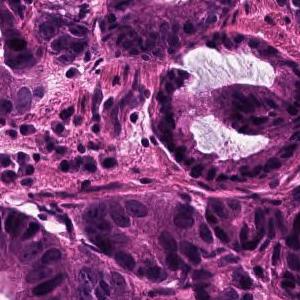
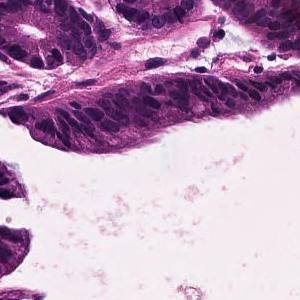
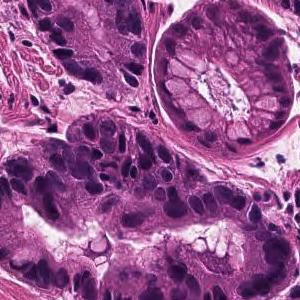
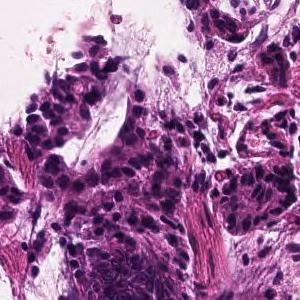
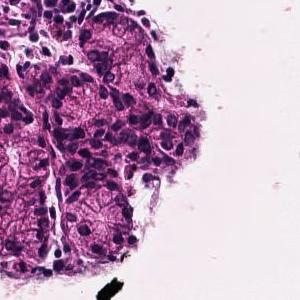
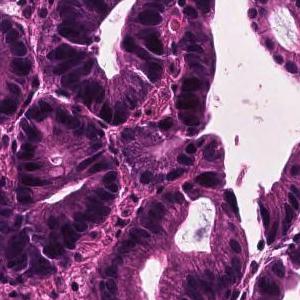
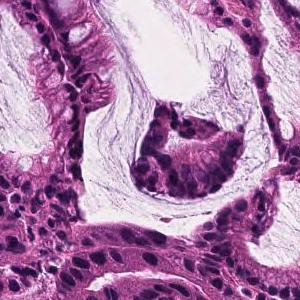
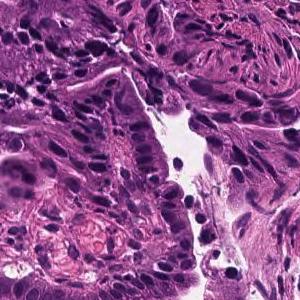
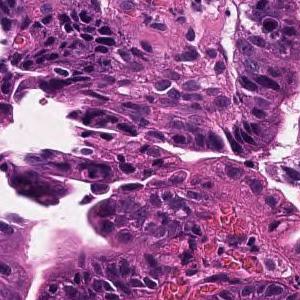
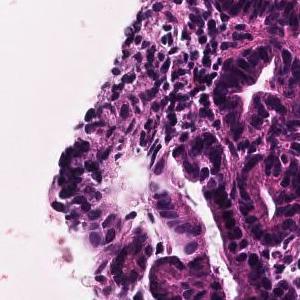
10 image tiles from a single gastric biopsy slide, 20× magnification.
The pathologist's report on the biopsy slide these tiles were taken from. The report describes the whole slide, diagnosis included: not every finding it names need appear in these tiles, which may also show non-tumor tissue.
In the superficial epithelium, tumor tissue that invades by forming medium-sized to small, irregular ducts is observed. Well differentiated tubular adenocarcinoma.
